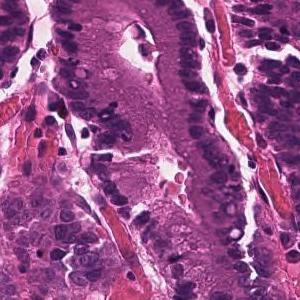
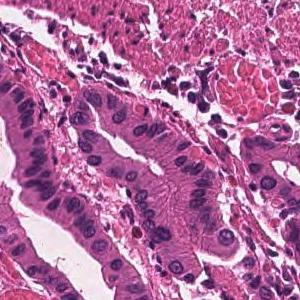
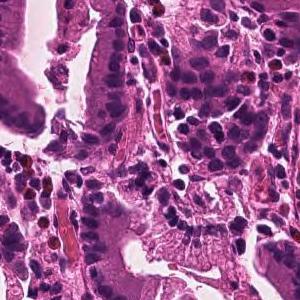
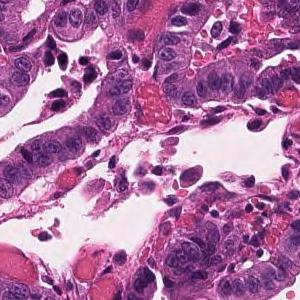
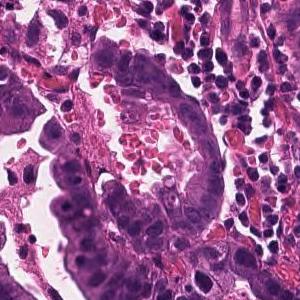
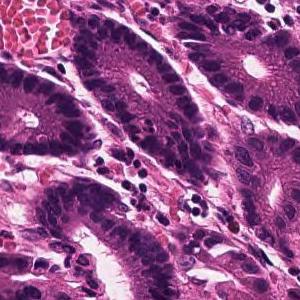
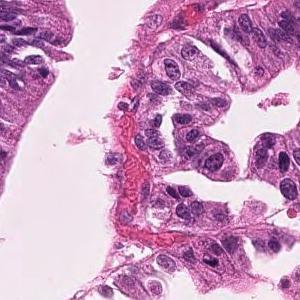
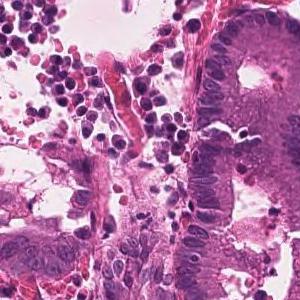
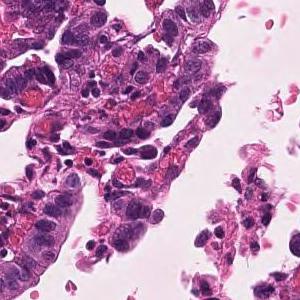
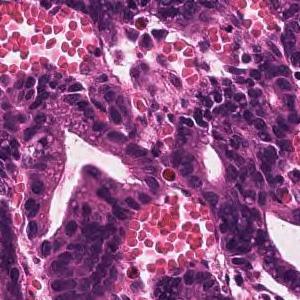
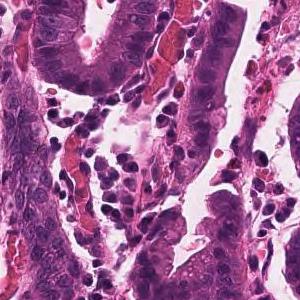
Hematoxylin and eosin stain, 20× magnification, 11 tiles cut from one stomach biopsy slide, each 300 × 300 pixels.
Report on the slide these tiles come from. The report describes the whole slide, diagnosis included: not every finding it names need appear in these tiles, which may also show non-tumor tissue.
Infiltrating tumor tissue with medium-sized, irregular ductal structure or large papillary appearance is observed. Well differentiated tubular adenocarcinoma
